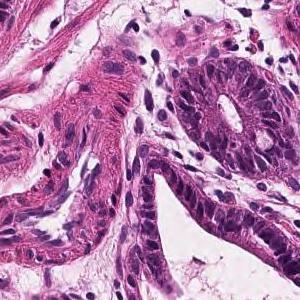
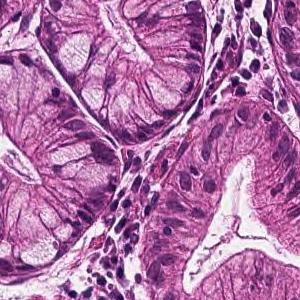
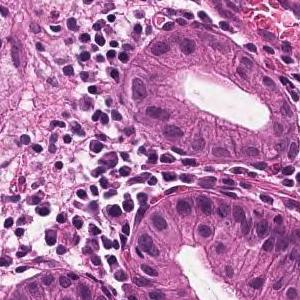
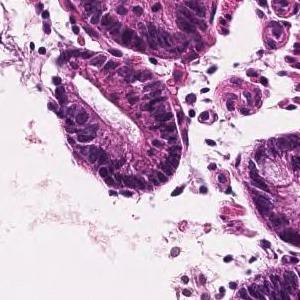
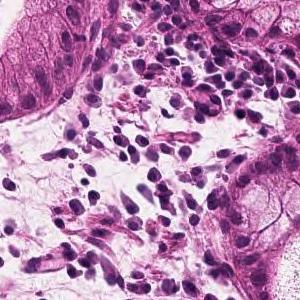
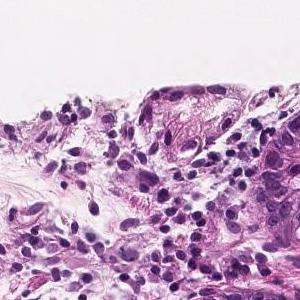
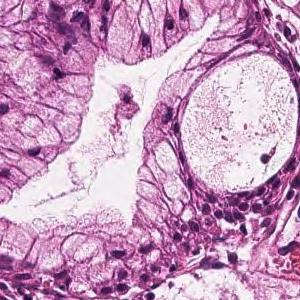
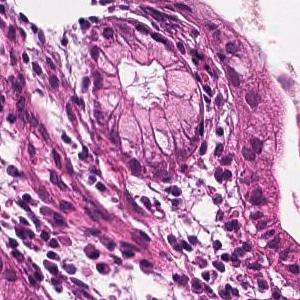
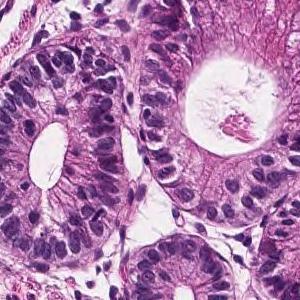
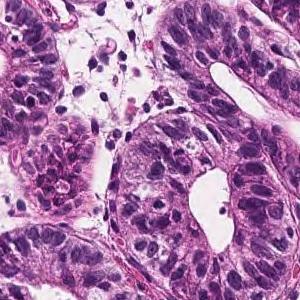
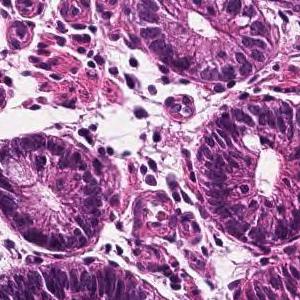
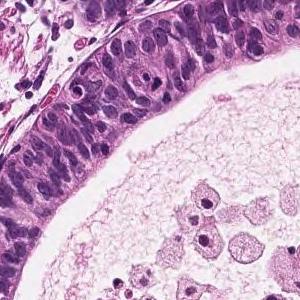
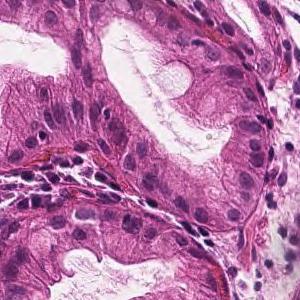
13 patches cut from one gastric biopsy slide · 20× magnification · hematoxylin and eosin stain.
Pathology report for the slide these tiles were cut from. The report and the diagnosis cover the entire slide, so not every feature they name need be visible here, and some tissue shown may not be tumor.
In the superficial epithelium, tumor tissue that invades by forming medium-sized to small, irregular ducts is observed. Well differentiated tubular adenocarcinoma.
